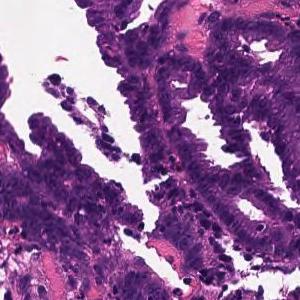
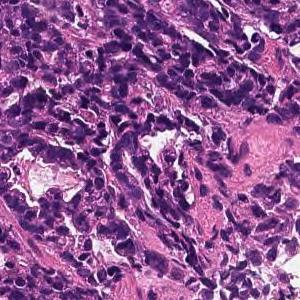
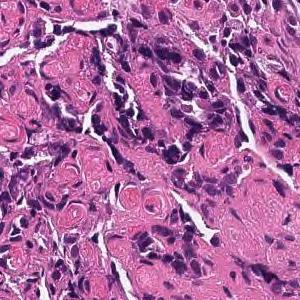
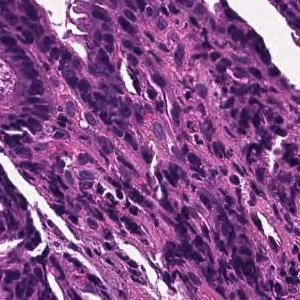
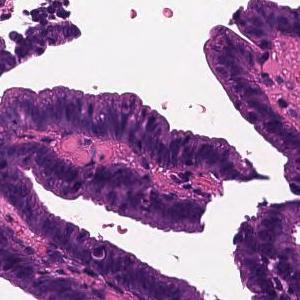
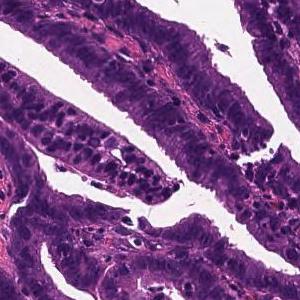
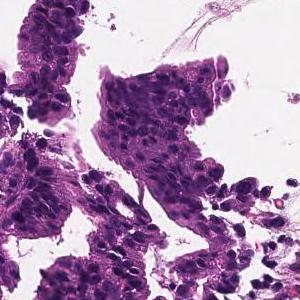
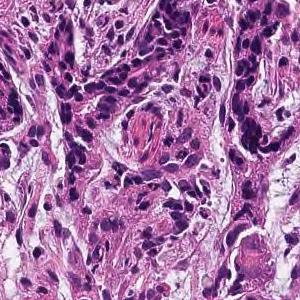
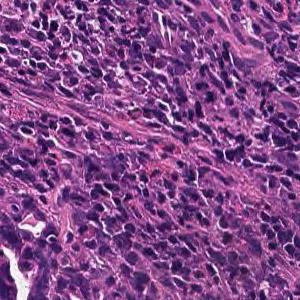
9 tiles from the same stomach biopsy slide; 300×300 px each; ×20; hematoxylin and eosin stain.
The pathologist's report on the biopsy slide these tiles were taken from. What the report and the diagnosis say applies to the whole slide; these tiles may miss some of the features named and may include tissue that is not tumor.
Medium to small, irregular glandular ducts are formed in the superficial epithelium, and some tumor tissues show small cords and infiltrate. moderately differentiated tubular adenocarcinoma or Poorly differentiated adenocarcinoma, non-solid type
The dataset labels this slide moderately differentiated tubular adenocarcinoma.
"Non-solid type" is a category of the Japanese Classification of Gastric Carcinoma.
